Scanned at ×20; 10 tiles from the same stomach biopsy slide; 300 × 300 pixels each.
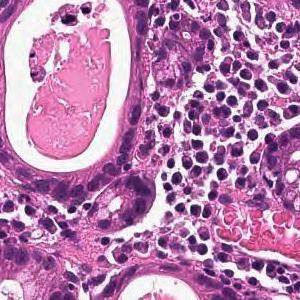
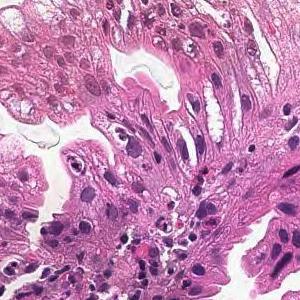
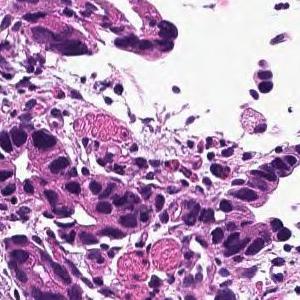
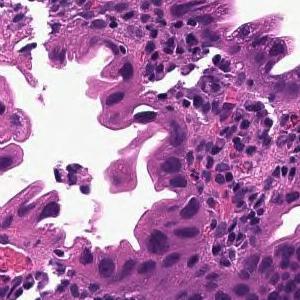
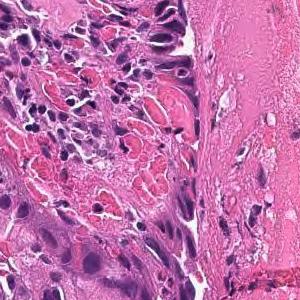
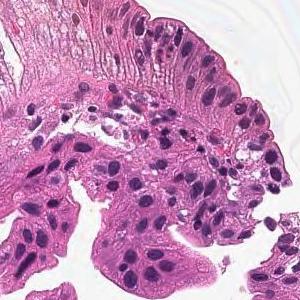
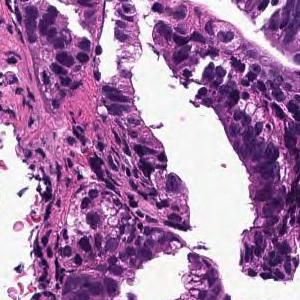
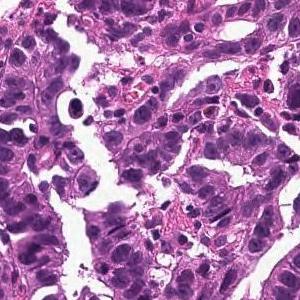
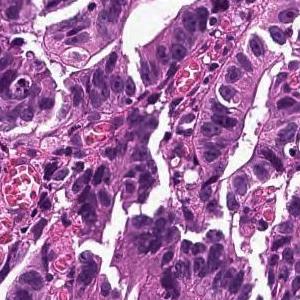
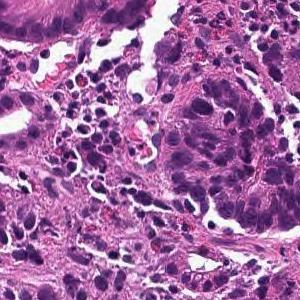
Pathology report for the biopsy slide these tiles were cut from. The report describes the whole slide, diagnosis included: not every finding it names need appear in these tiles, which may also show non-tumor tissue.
On the superficial epithelium, tumor tissue consisting of large, irregular glandular ducts partially fused and infiltrated is observed. Well to moderately differentiated tubular adenocarcinoma (well differentiated tubular adenocarcinoma, moderately differentiated tubular adenocarcinoma)
Tumor subtype: well to moderately differentiated tubular adenocarcinoma.
